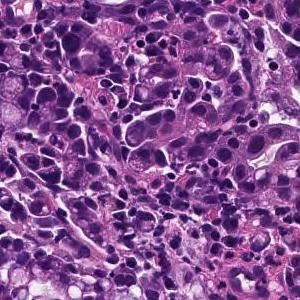
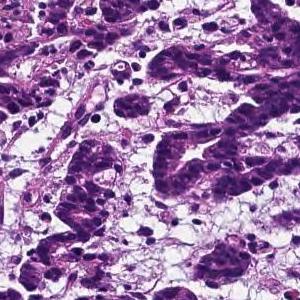
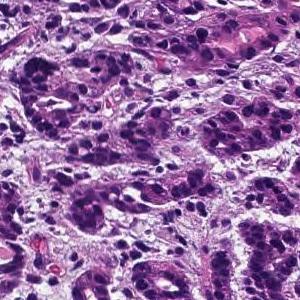
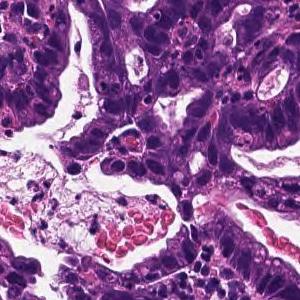
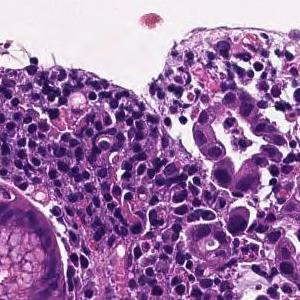
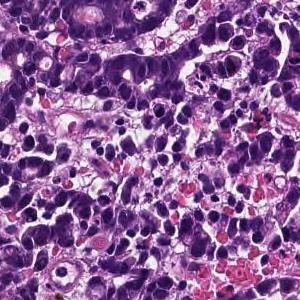
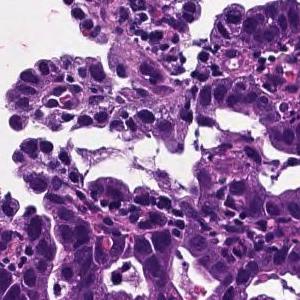
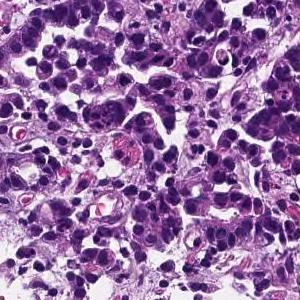
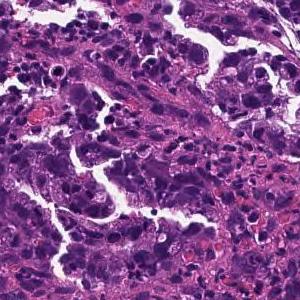
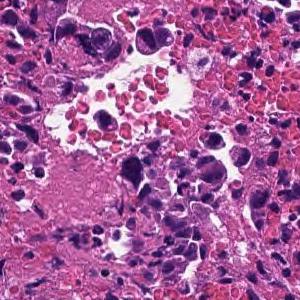
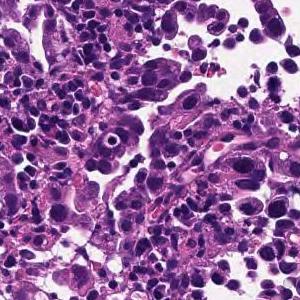
11 tiles from the same stomach biopsy slide · each 300 × 300 pixels.
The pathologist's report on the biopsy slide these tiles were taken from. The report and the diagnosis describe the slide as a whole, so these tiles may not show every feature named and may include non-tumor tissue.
In the superficial epithelium, tumor tissue that invades by forming medium-sized to small, irregular ducts is observed. moderately differentiated tubular adenocarcinoma.
